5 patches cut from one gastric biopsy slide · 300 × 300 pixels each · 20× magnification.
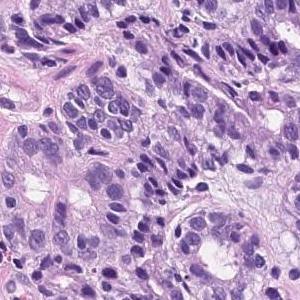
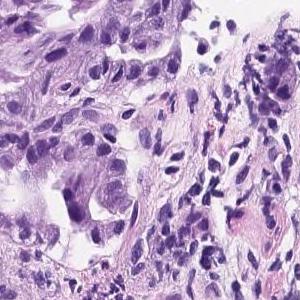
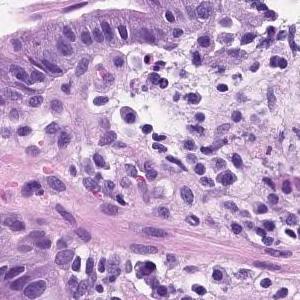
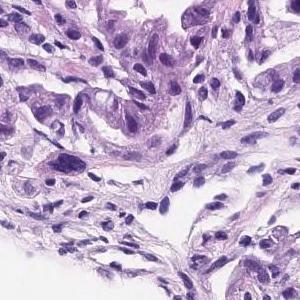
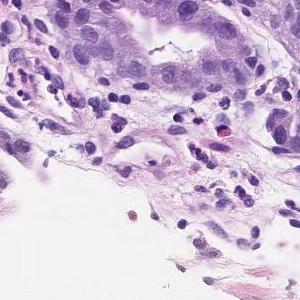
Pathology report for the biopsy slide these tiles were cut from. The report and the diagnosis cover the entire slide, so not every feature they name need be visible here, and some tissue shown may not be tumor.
Tumor tissue consisting of medium-sized and irregular ducts is observed infiltrating in the superficial epithelium. Tumor cells are highly columnar, with nuclei aligned basolaterally and polarized. Well differentiated tubular adenocarcinoma.
